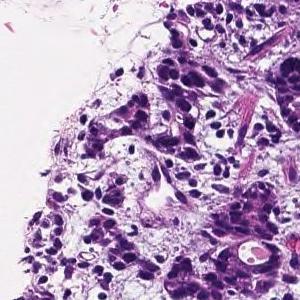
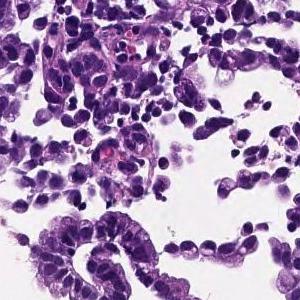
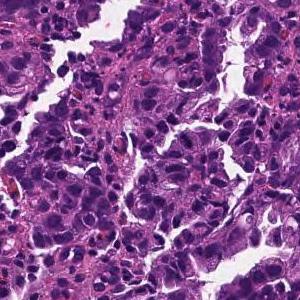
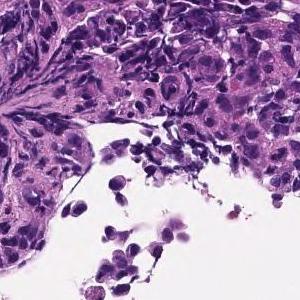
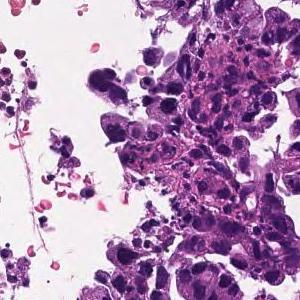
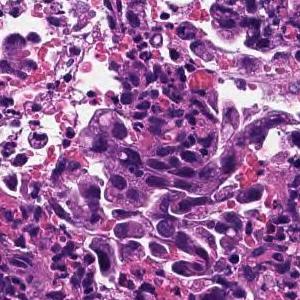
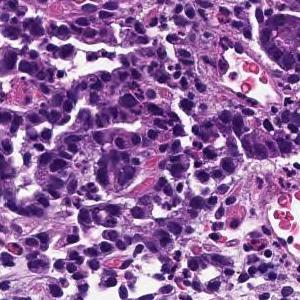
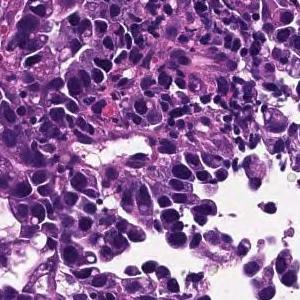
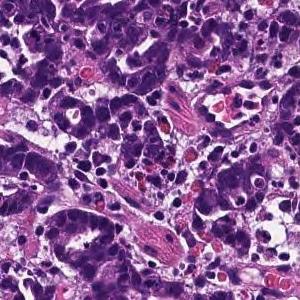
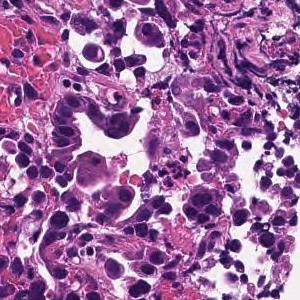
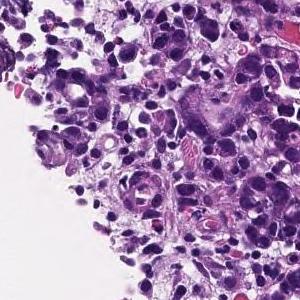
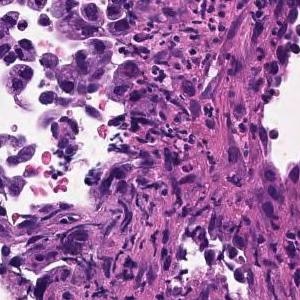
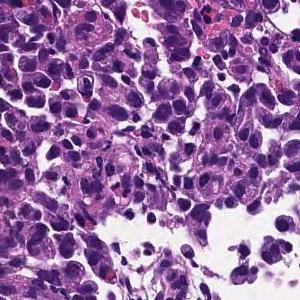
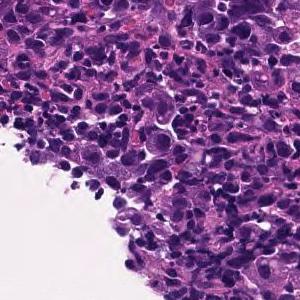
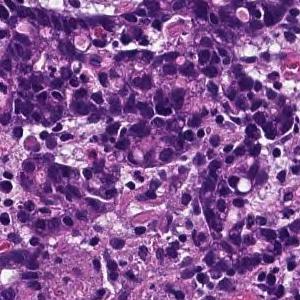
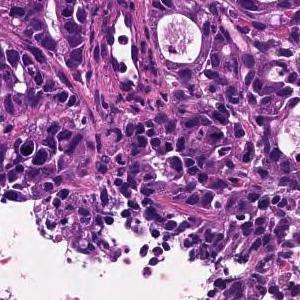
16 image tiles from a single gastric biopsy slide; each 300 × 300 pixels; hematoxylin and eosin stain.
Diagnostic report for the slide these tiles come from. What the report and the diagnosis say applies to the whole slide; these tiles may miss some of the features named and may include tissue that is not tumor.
In the superficial epithelium, tumor tissue that invades by forming medium-sized to small, irregular ducts is observed. moderately differentiated tubular adenocarcinoma.
